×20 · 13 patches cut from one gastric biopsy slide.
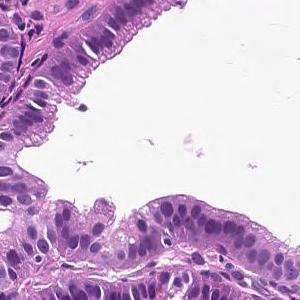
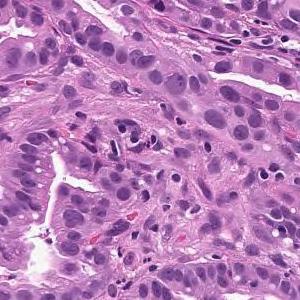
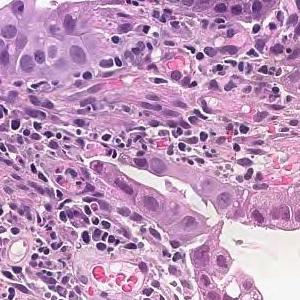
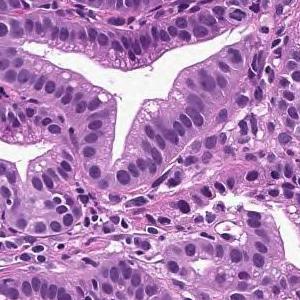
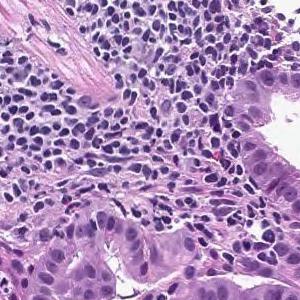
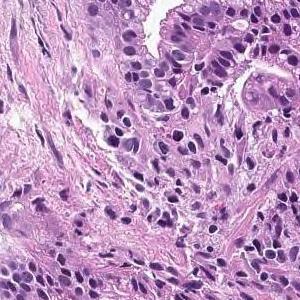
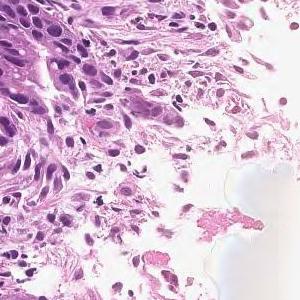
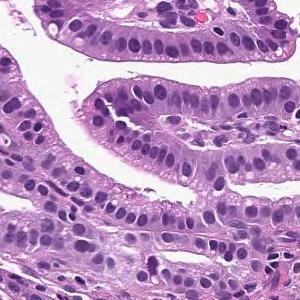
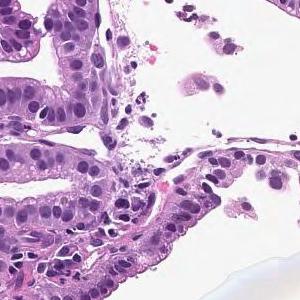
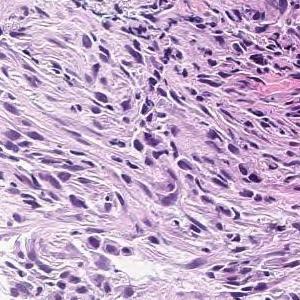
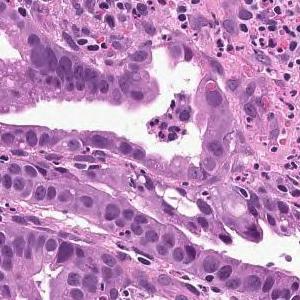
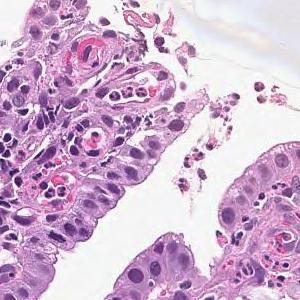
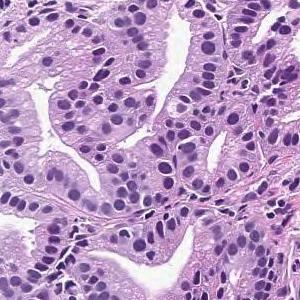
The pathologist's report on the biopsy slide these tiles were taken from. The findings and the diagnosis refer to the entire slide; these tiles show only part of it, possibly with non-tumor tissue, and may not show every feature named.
On the superficial epithelium, tumor tissue that infiltrates by forming medium-sized papillary or small irregular ducts is observed. Papillary adenocarcinoma
